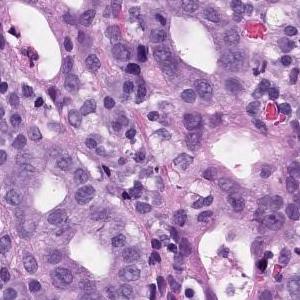
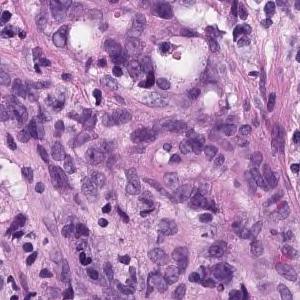
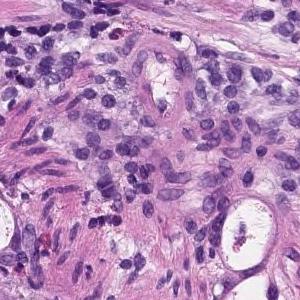
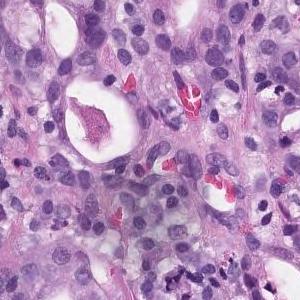
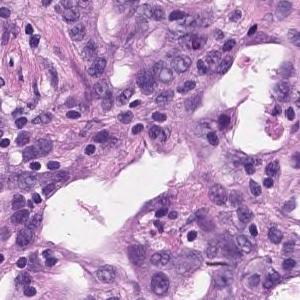
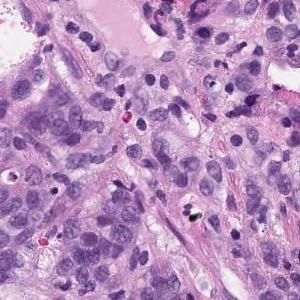
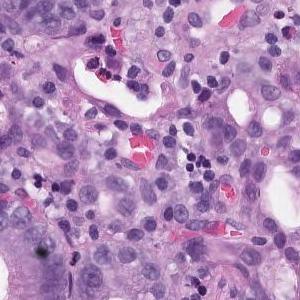
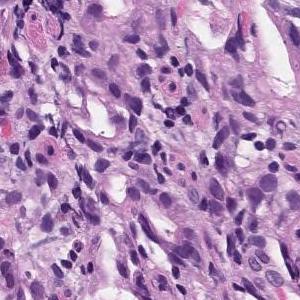
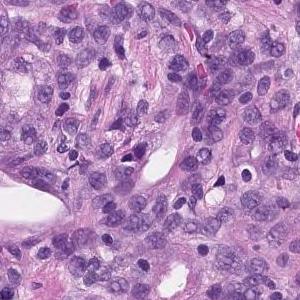
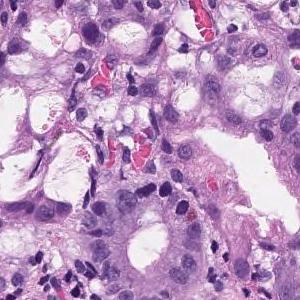
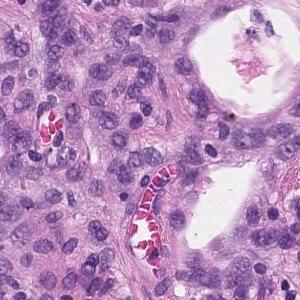
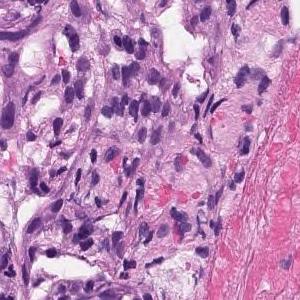
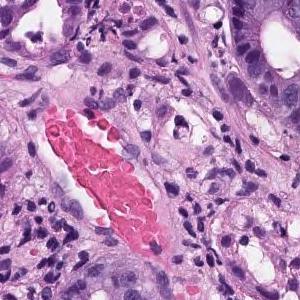
13 patches cut from one gastric biopsy slide; each 300 × 300 pixels; H&E stain.
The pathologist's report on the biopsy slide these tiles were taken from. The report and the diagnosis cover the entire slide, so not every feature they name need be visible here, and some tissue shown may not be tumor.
In the superficial epithelium, tumor tissue that invades by forming medium-sized to small, irregular ducts is observed. Moderately differentiated adenocarcinoma.
Subtype: Moderately differentiated tubular adenocarcinoma.
